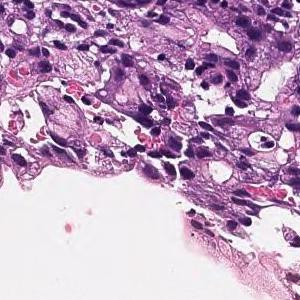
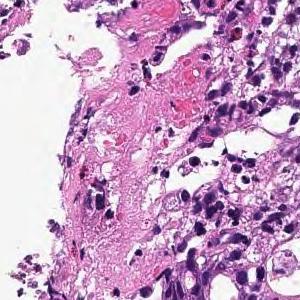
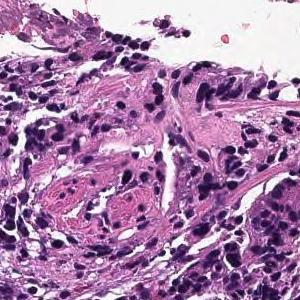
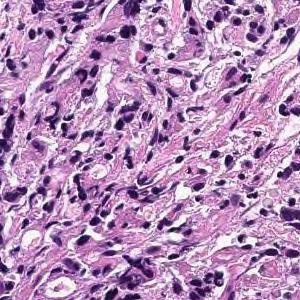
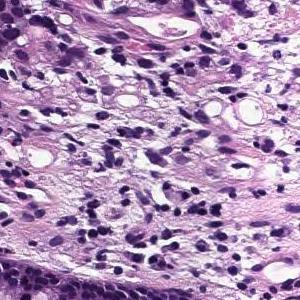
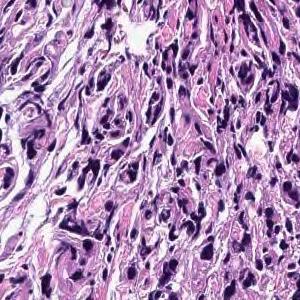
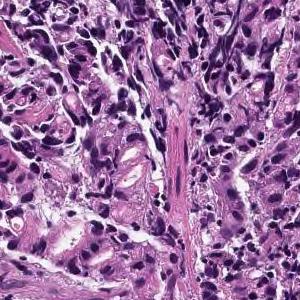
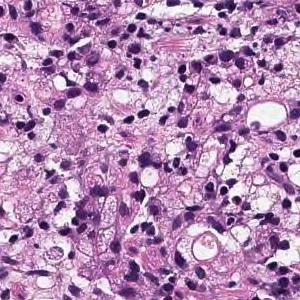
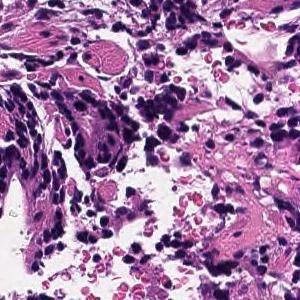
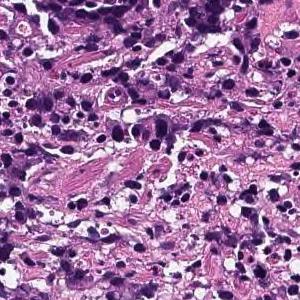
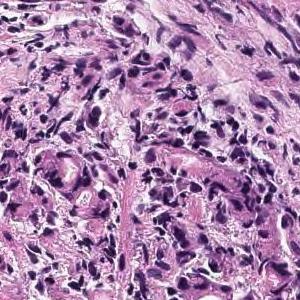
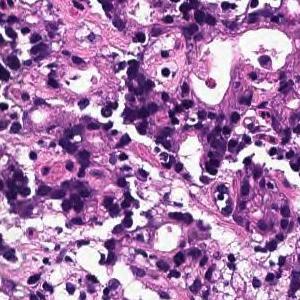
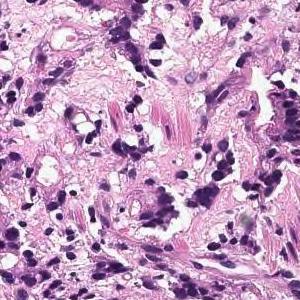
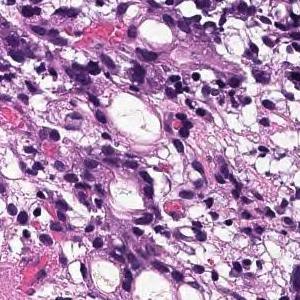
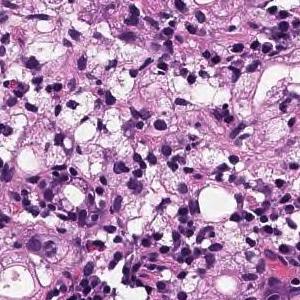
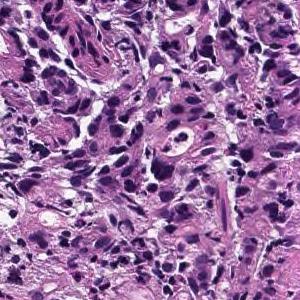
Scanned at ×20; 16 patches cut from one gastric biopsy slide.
Pathology report for the biopsy slide these tiles were cut from. The report describes the whole slide, diagnosis included: not every finding it names need appear in these tiles, which may also show non-tumor tissue.
Tumor tissue consisting of cord-like or small, irregular glandular ducts fused and infiltrated is observed in the superficial epithelium. Poorly differentiated adenocarcinoma, non-solid type
The non-solid type named here is a Japanese Classification of Gastric Carcinoma category.
